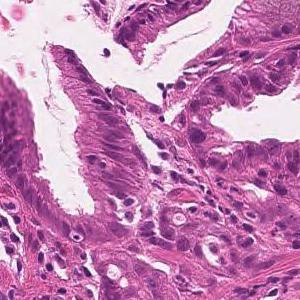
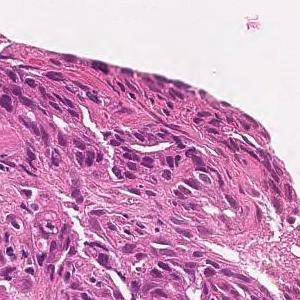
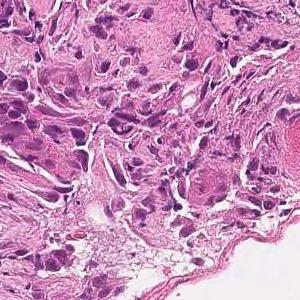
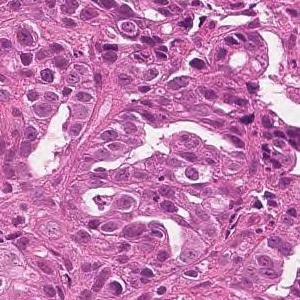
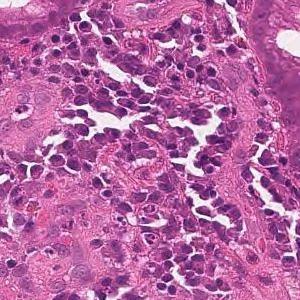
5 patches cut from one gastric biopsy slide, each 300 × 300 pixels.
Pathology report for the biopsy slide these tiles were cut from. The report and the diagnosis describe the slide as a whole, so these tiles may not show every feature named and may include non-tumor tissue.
Tumor tissue consisting of large papillary structures is found in the superficial epithelium. Papillary adenocarcinoma.
